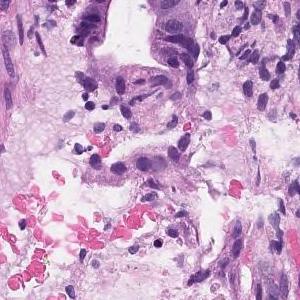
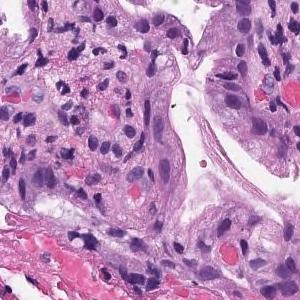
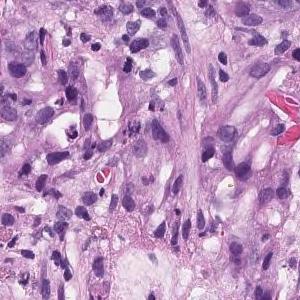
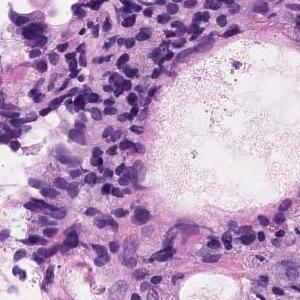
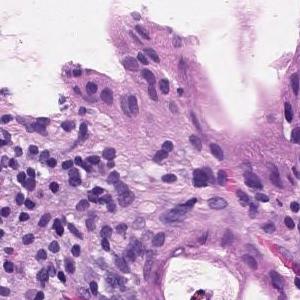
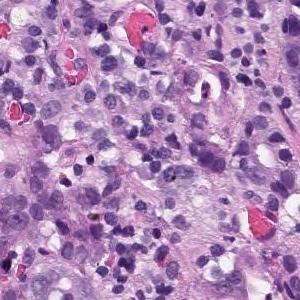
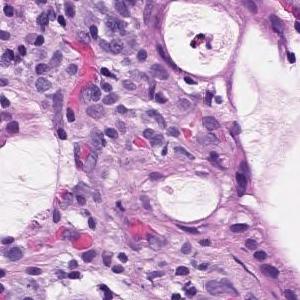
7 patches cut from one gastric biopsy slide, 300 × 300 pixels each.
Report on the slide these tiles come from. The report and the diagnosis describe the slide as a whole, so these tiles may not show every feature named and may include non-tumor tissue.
In the superficial epithelium, tumor tissue that invades by forming medium-sized to small, irregular ducts is observed. Moderately differentiated adenocarcinoma.
Histologic type: Moderately differentiated tubular adenocarcinoma.
